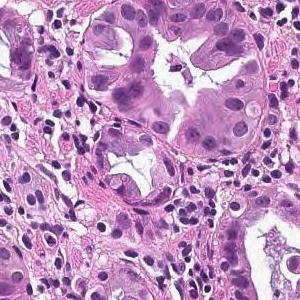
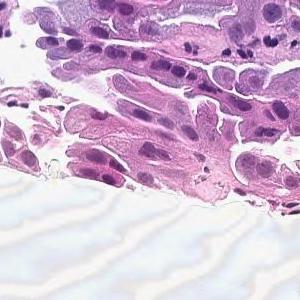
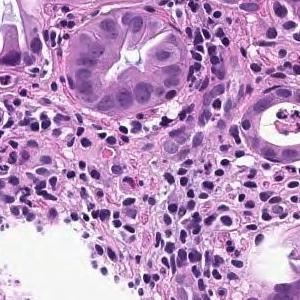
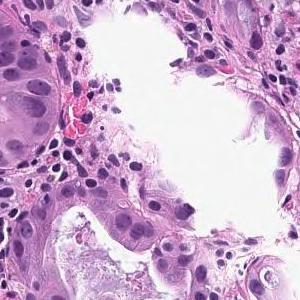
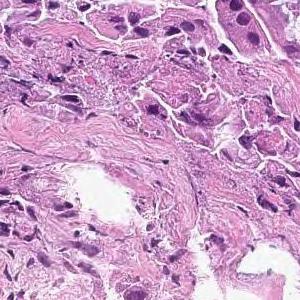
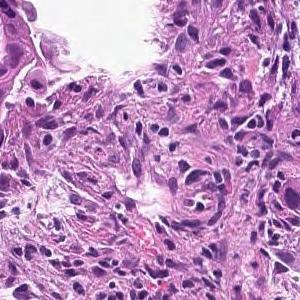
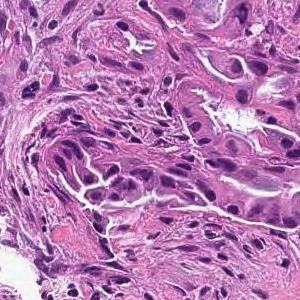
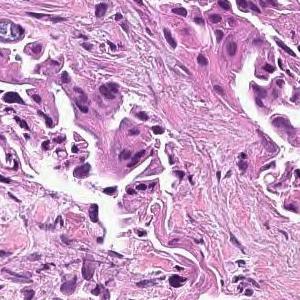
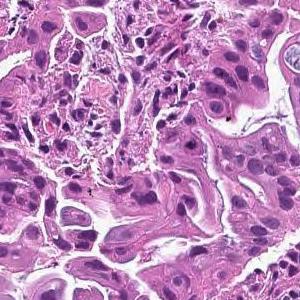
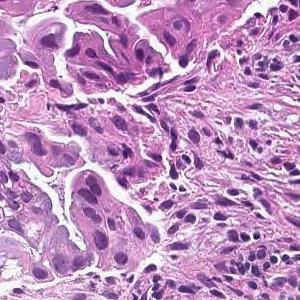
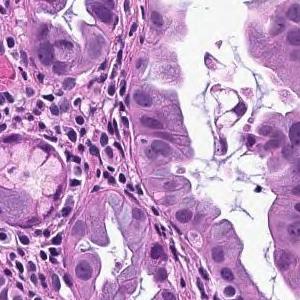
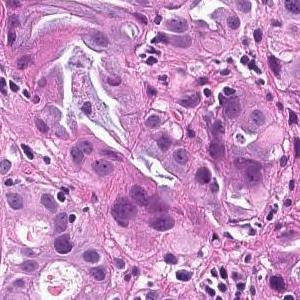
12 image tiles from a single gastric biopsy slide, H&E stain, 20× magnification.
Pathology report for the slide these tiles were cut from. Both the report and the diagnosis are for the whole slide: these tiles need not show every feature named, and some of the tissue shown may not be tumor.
From the superficial epithelium to the muscularis mucosae, tumor tissue consisting of medium-sized and irregular glandular ducts infiltrating is observed. Well differentiated tubular adenocarcinoma
